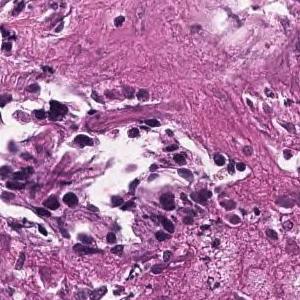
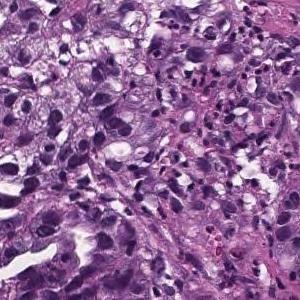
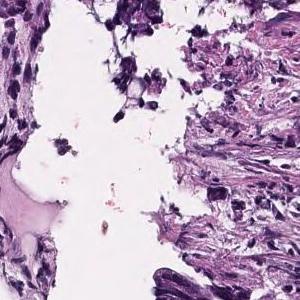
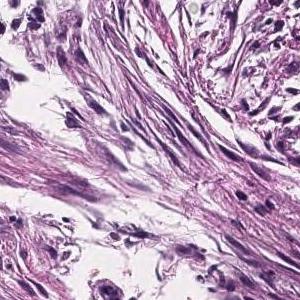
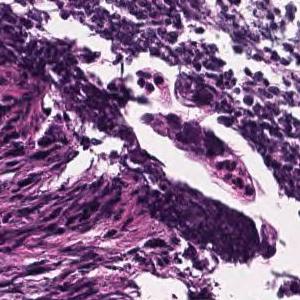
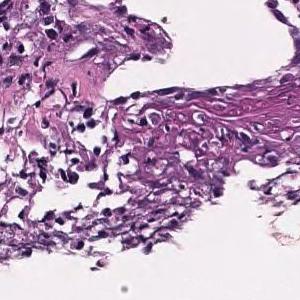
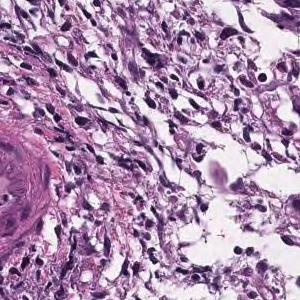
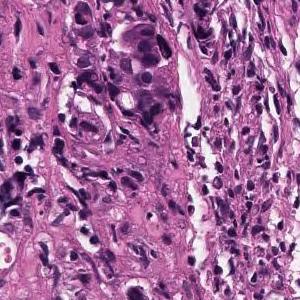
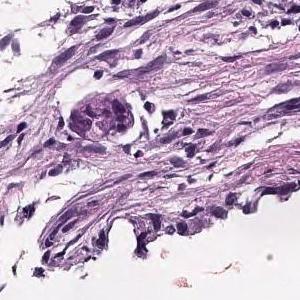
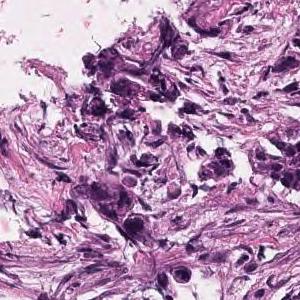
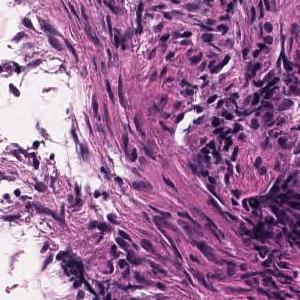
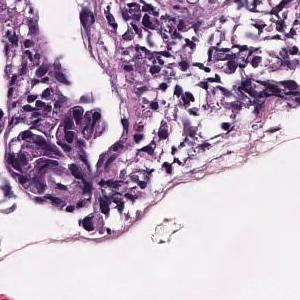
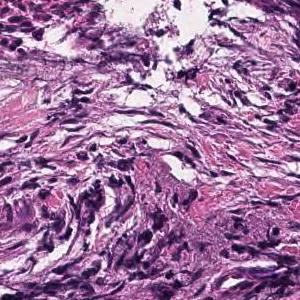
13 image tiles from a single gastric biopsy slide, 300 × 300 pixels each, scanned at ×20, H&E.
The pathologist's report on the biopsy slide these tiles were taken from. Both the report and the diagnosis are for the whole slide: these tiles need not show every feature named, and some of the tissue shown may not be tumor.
In the superficial epithelium, tumor tissue that invades by forming medium-sized to small, irregular ducts is observed. moderately differentiated tubular adenocarcinoma.
